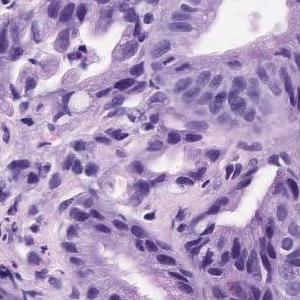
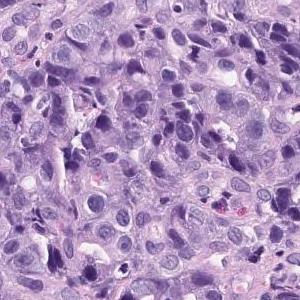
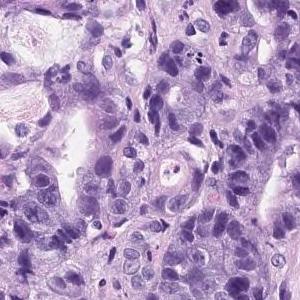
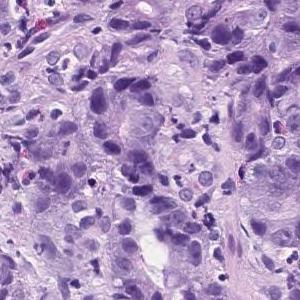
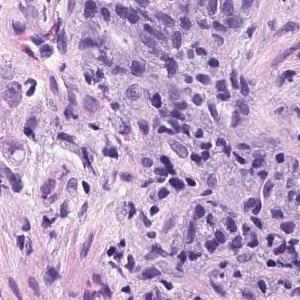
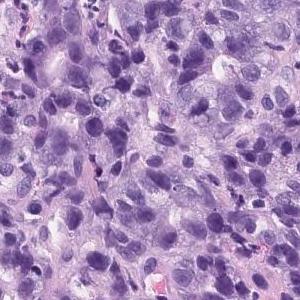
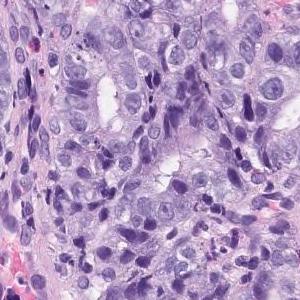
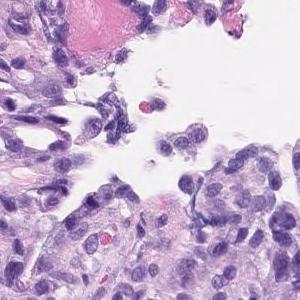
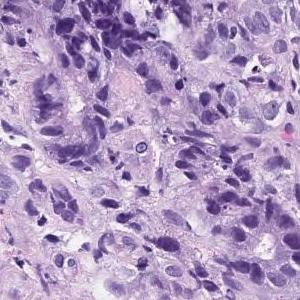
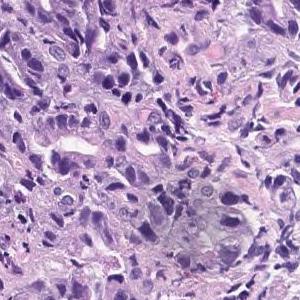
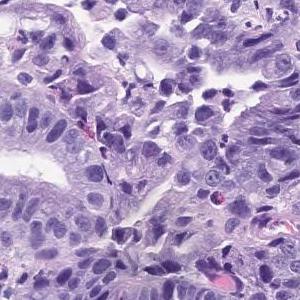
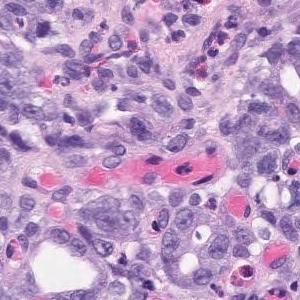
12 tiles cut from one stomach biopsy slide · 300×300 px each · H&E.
The pathologist's report on the biopsy slide these tiles were taken from. What the report and the diagnosis say applies to the whole slide; these tiles may miss some of the features named and may include tissue that is not tumor.
In the superficial epithelium, tumor tissue that invades by forming medium-sized to small, irregular ducts is observed. Moderately differentiated adenocarcinoma.
Classified as moderately differentiated tubular adenocarcinoma.
